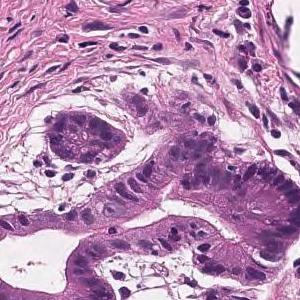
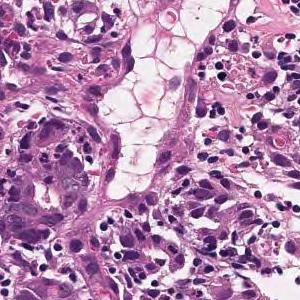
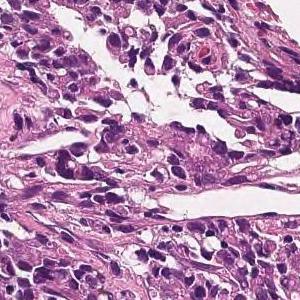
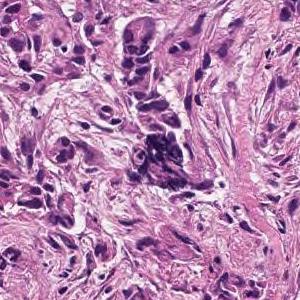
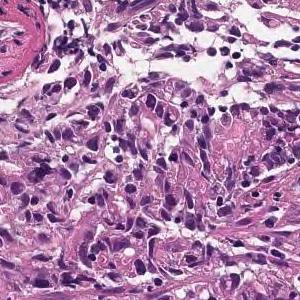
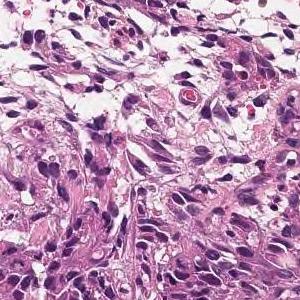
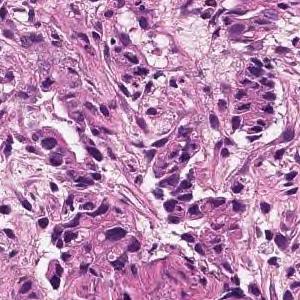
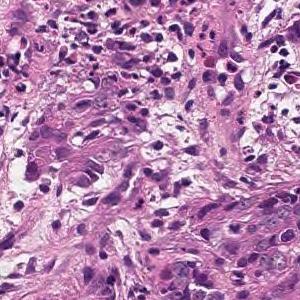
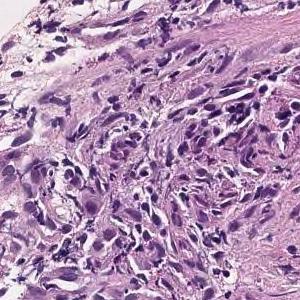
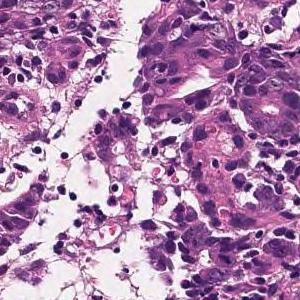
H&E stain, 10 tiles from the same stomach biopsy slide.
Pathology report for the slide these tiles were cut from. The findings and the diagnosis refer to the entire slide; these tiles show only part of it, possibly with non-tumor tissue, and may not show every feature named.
Tumor tissue consisting of cord-like or small, irregular glandular ducts fused and infiltrated is observed in the superficial epithelium. Poorly differentiated adenocarcinoma, non-solid type
"Non-solid type" is a category of the Japanese Classification of Gastric Carcinoma.
